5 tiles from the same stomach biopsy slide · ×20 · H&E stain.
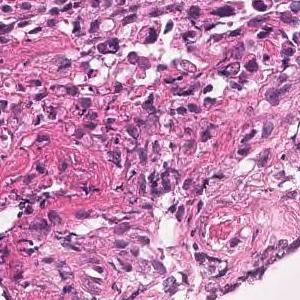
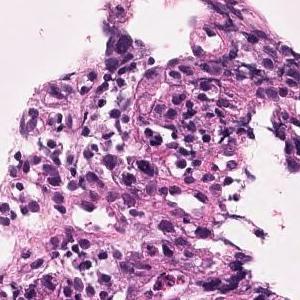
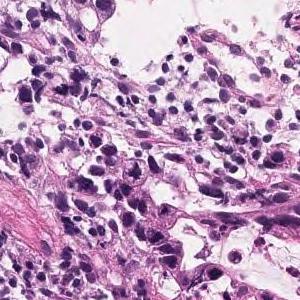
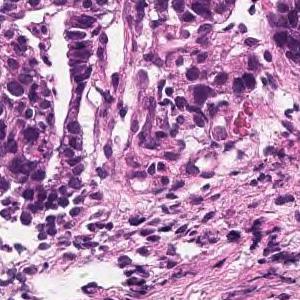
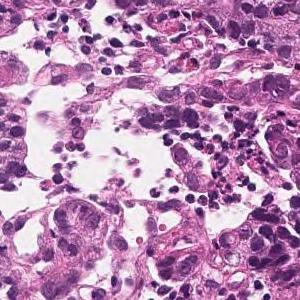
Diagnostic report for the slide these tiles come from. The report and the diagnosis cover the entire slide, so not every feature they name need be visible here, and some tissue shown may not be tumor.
In the superficial epithelium, tumor tissue that invades by forming medium-sized to small, irregular ducts is observed. Moderately differentiated adenocarcinoma.
Histologic type: Moderately differentiated tubular adenocarcinoma.
